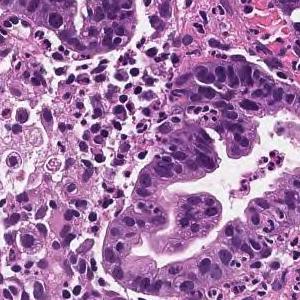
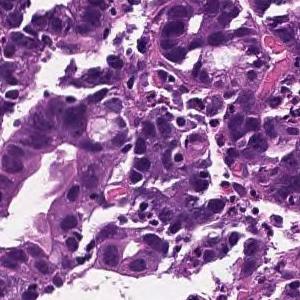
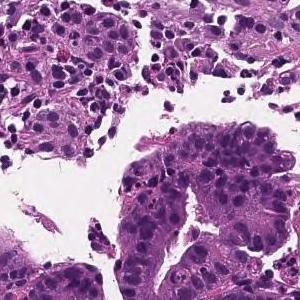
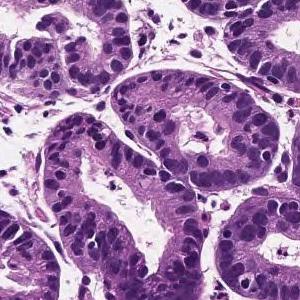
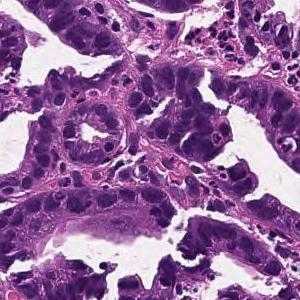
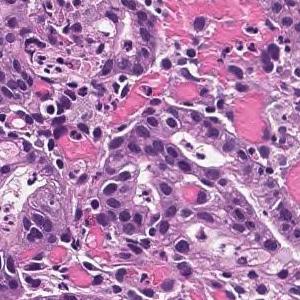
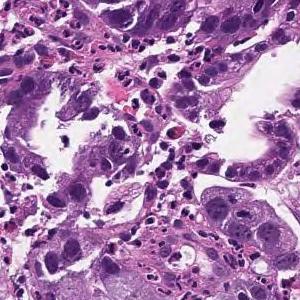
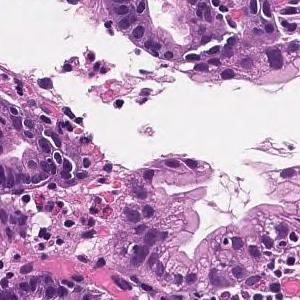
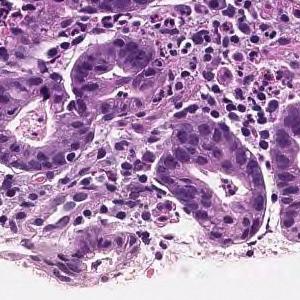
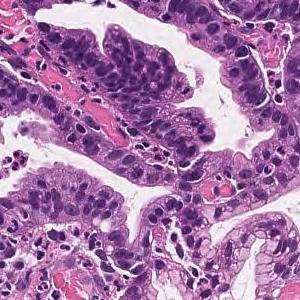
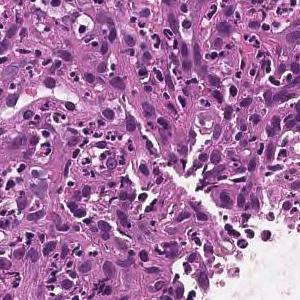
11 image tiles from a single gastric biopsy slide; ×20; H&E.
Pathology report for the slide these tiles were cut from. The report describes the whole slide, diagnosis included: not every finding it names need appear in these tiles, which may also show non-tumor tissue.
On the superficial epithelium, tumor tissue consisting of medium-sized irregular or small round gland ducts showing a small cord-like shape and infiltrating is observed. Well differentiated tubular adenocarcinoma or Poorly differentiated adenocarcinoma, non-solid type
The dataset labels this slide well differentiated tubular adenocarcinoma.
The non-solid type named here is a Japanese Classification of Gastric Carcinoma category.
